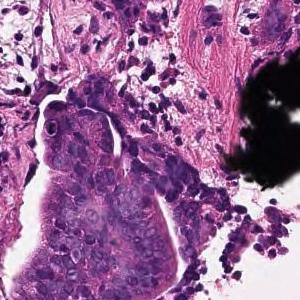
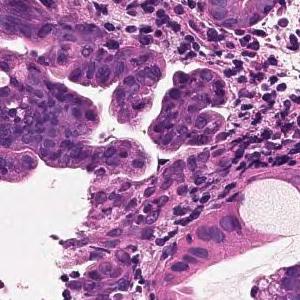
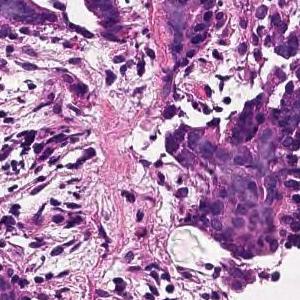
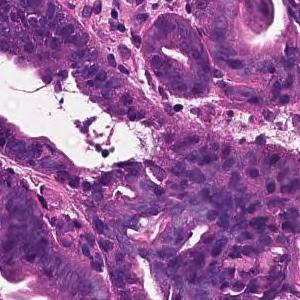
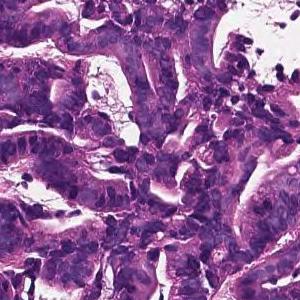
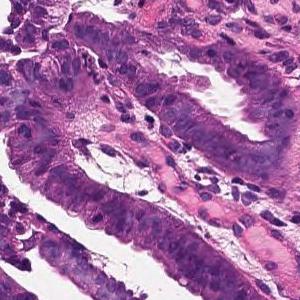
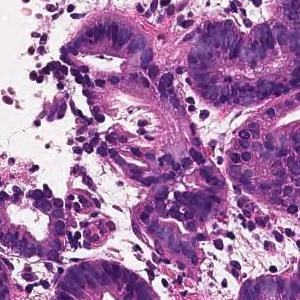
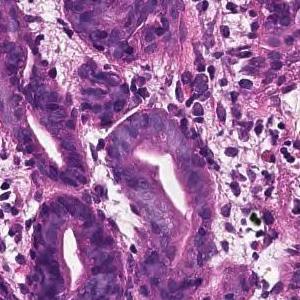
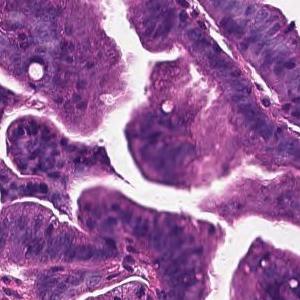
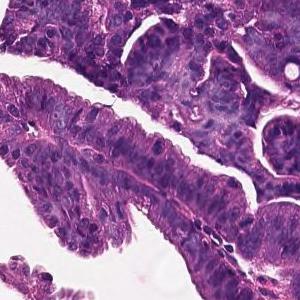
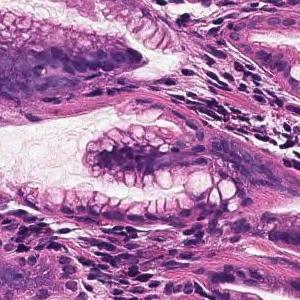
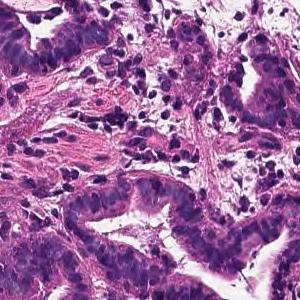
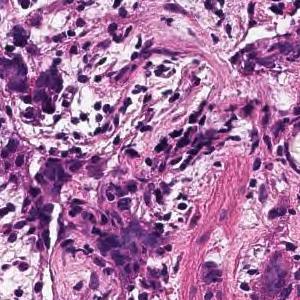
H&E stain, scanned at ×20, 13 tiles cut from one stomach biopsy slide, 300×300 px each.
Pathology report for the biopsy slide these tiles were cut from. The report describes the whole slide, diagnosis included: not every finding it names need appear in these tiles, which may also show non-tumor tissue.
Tumor cells are large, highly columnar, large club-shaped nuclei, and are associated with chromatin aggregation. Papillary adenocarcinoma.
